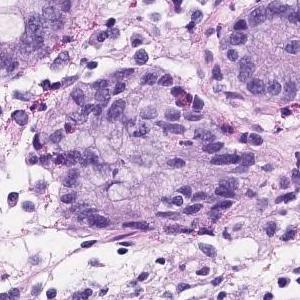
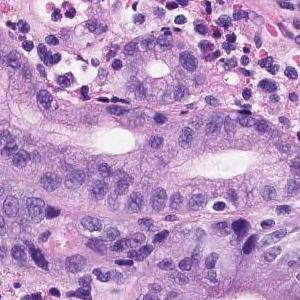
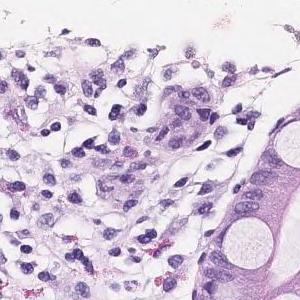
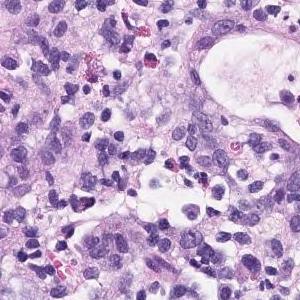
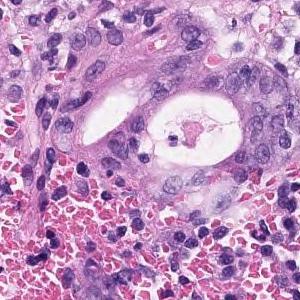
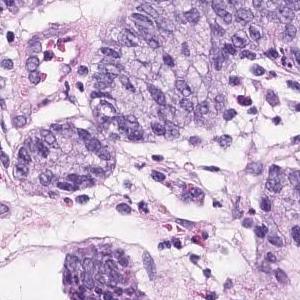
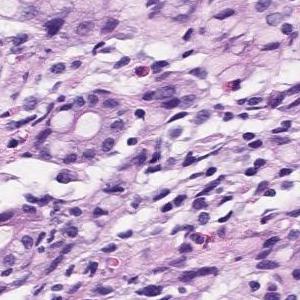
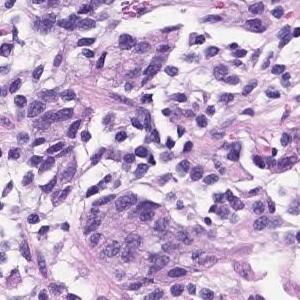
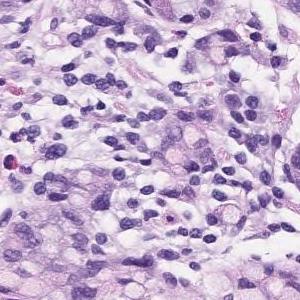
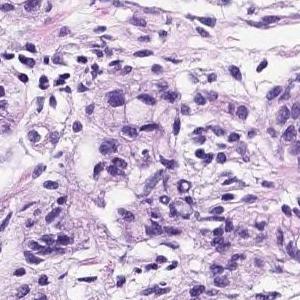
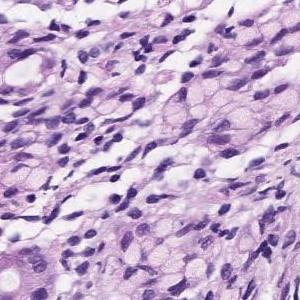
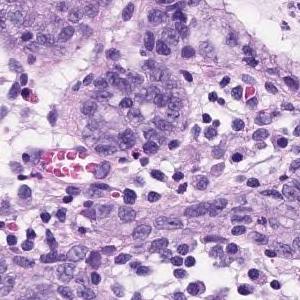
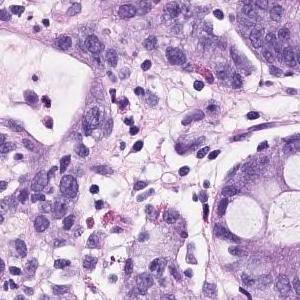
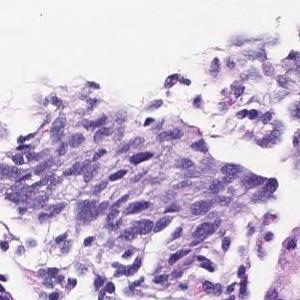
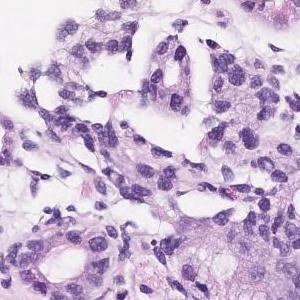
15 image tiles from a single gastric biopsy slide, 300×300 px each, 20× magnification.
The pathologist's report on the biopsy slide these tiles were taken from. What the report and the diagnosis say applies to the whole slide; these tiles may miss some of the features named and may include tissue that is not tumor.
Atypical l cells with atypical nuclei forming diffuse or small irregular atypical ducts and growing. Moderately to poorly differentiated adenocarcinoma (poorly differentiated adenocarcinoma, solid type moderately differentiated tubular adenocarcinoma)
Histological subtype: Moderately to poorly differentiated adenocarcinoma.
The term "solid type" comes from the Japanese Classification of Gastric Carcinoma; the WHO 2019 equivalent is tubular adenocarcinoma, poorly differentiated.
